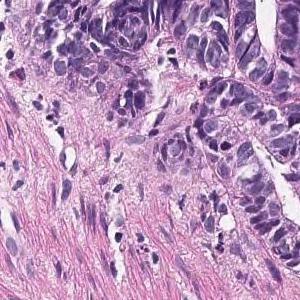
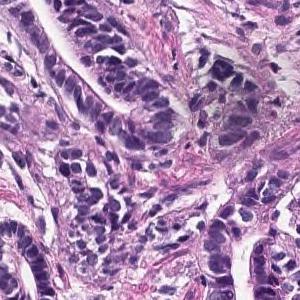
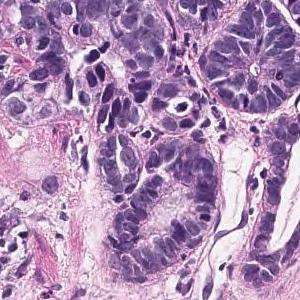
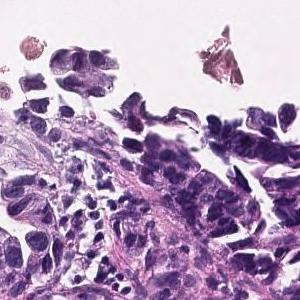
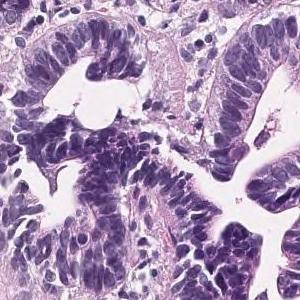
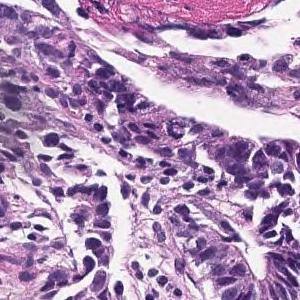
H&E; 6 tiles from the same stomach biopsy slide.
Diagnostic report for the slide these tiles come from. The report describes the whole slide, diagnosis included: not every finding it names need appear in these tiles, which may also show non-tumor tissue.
In the superficial epithelium, tumor tissue that invades by forming medium-sized to small, irregular ducts is observed. Well differentiated tubular adenocarcinoma.
